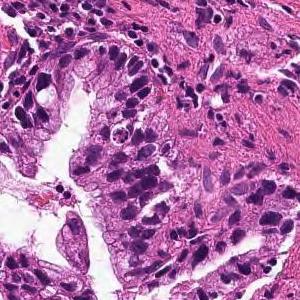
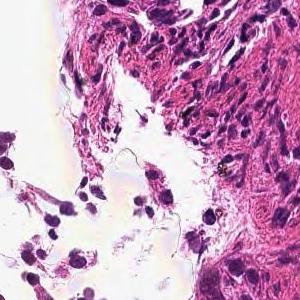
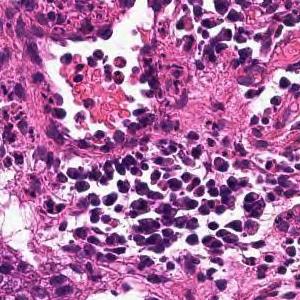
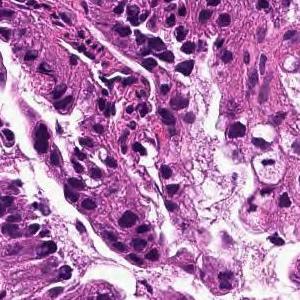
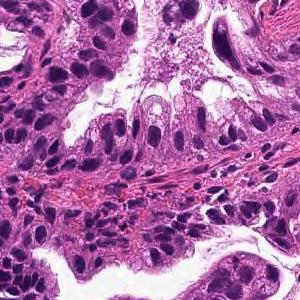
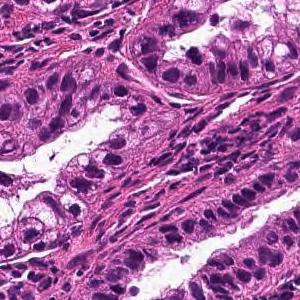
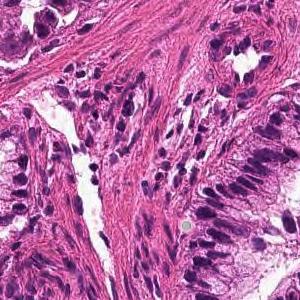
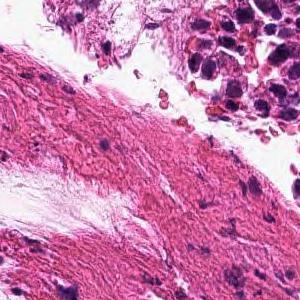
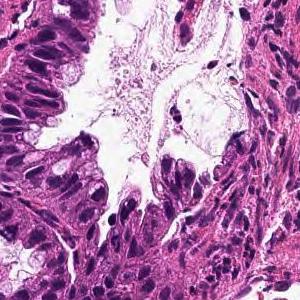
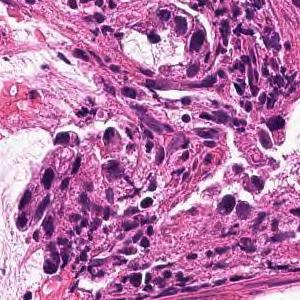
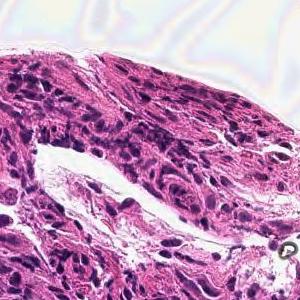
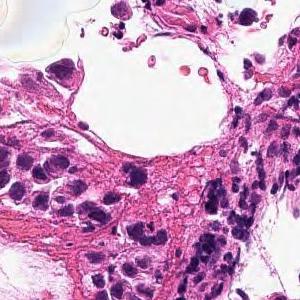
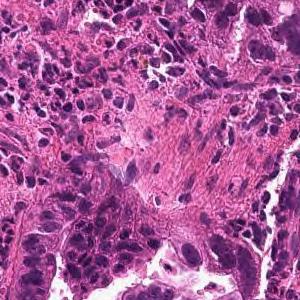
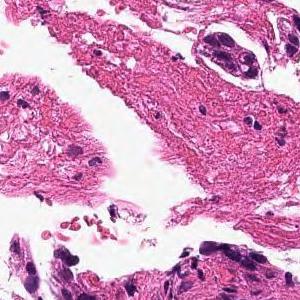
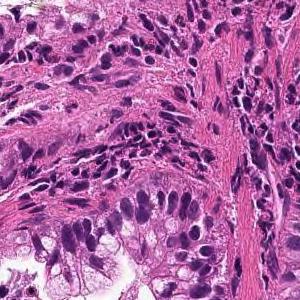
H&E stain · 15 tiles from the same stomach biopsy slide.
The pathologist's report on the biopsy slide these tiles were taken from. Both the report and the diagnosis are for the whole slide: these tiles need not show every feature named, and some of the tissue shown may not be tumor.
From the superficial epithelium to the muscularis mucosae, tumor tissue infiltrating by forming medium-sized irregular gland ducts is observed. Well differentiated tubular adenocarcinoma
